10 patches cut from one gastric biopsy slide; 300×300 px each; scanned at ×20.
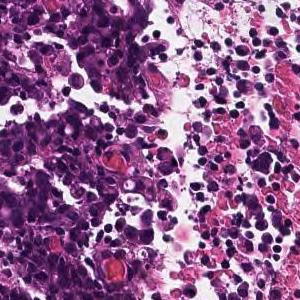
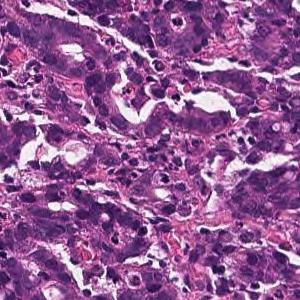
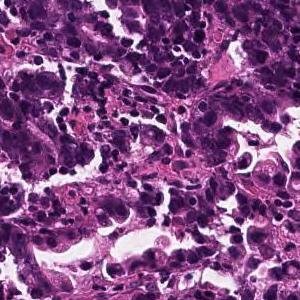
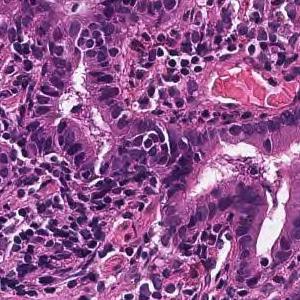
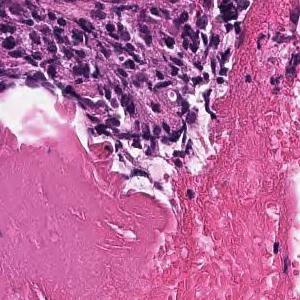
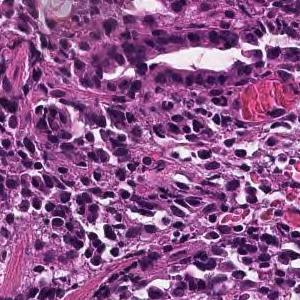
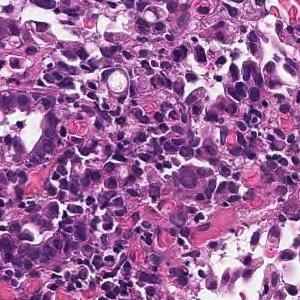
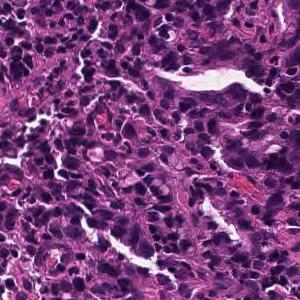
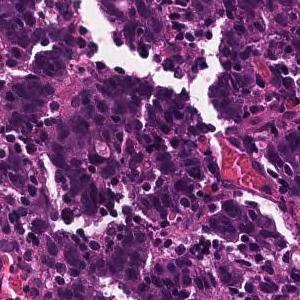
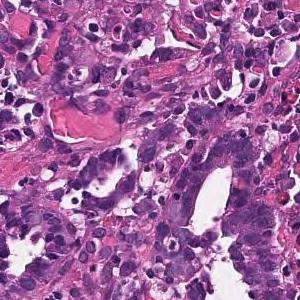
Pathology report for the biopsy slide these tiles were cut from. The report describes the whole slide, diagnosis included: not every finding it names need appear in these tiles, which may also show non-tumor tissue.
In the superficial epithelium, tumor tissue that invades by forming medium-sized to small, irregular ducts is observed. moderately differentiated tubular adenocarcinoma.
